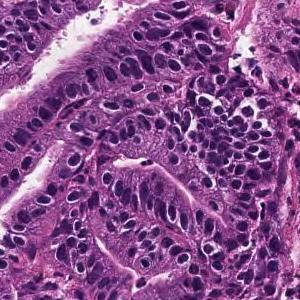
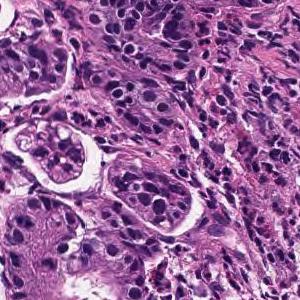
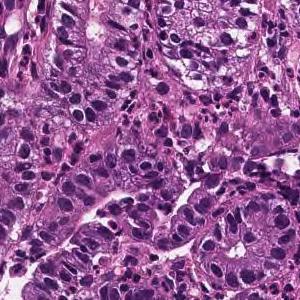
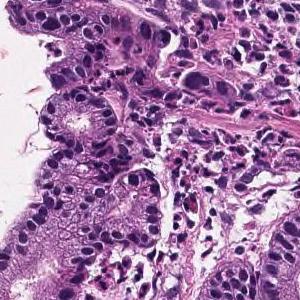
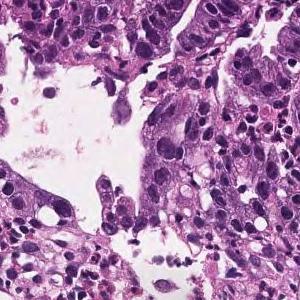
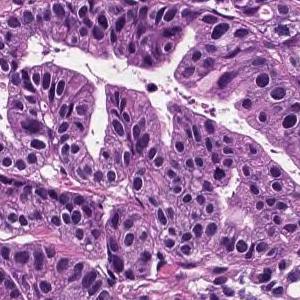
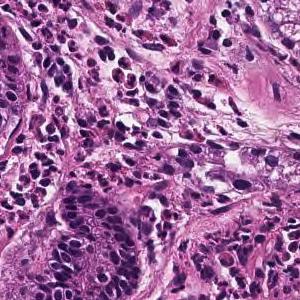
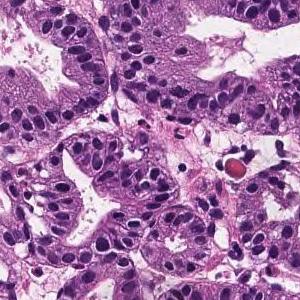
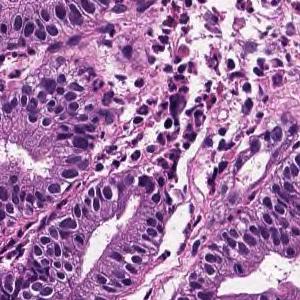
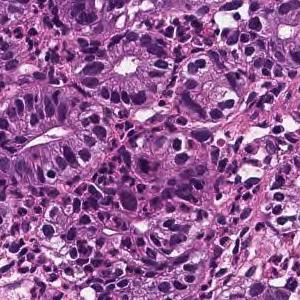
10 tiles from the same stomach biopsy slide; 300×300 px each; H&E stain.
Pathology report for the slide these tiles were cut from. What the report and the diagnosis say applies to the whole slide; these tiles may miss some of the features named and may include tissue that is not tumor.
On the superficial epithelium, tumor tissue that infiltrates by forming medium-sized round or small irregular ducts is observed. Papillary adenocarcinoma
